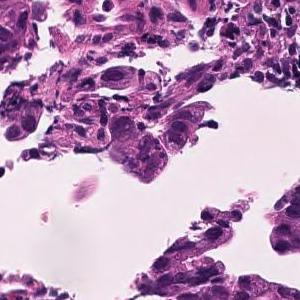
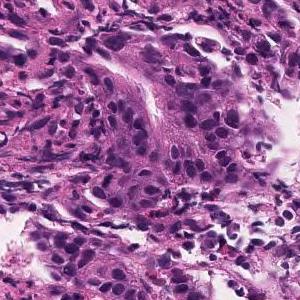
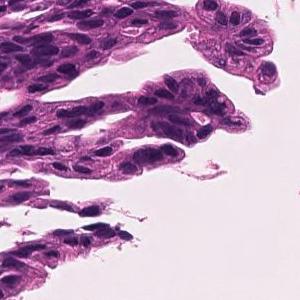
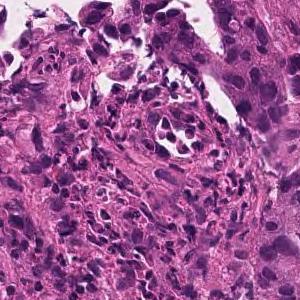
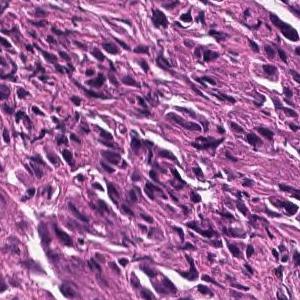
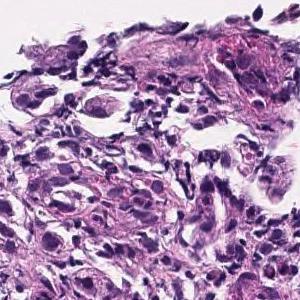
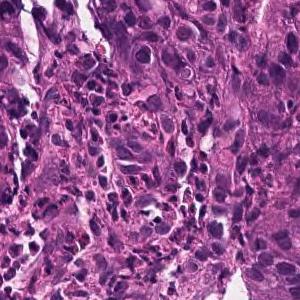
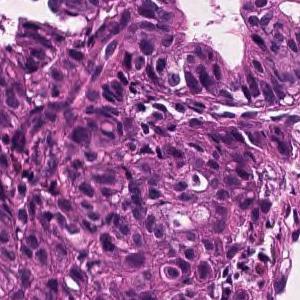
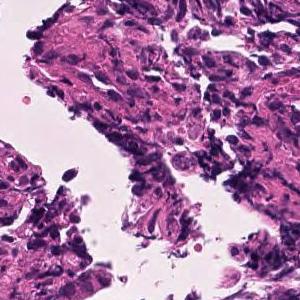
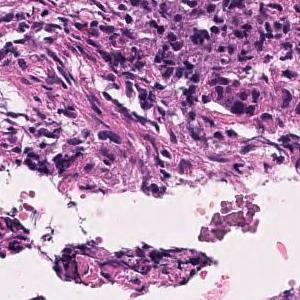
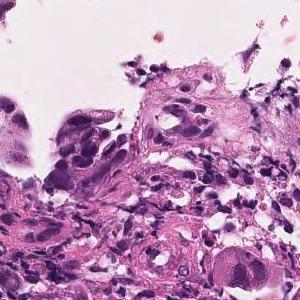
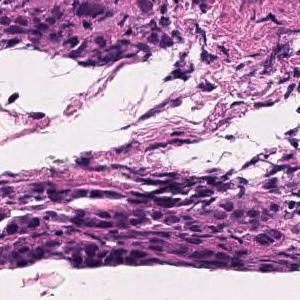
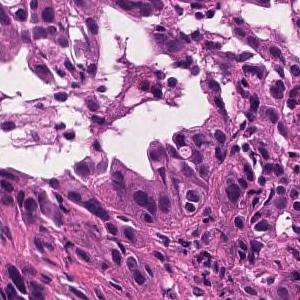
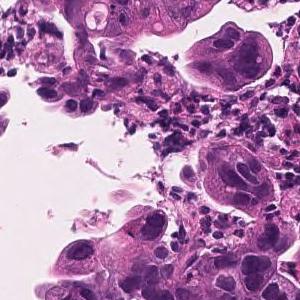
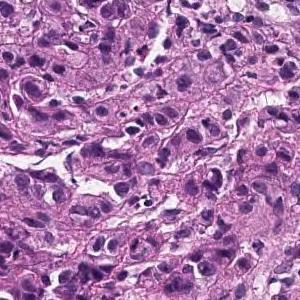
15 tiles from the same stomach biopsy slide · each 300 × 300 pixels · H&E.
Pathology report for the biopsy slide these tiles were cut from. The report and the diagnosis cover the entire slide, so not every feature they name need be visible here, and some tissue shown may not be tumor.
Tumor tissue consisting of medium-sized, cord-like or irregular glandular infiltration is observed in the superficial epithelium. Poorly differentiated adenocarcinoma, non-solid type or moderately differentiated tubular adenocarcinoma
"Non-solid type" is a category of the Japanese Classification of Gastric Carcinoma.
